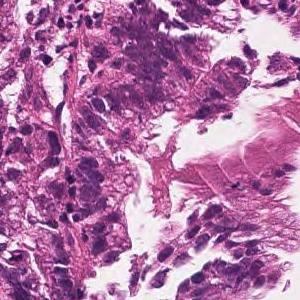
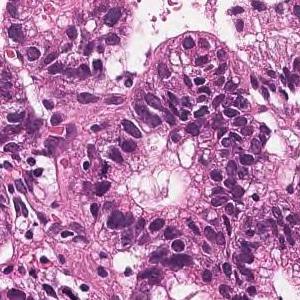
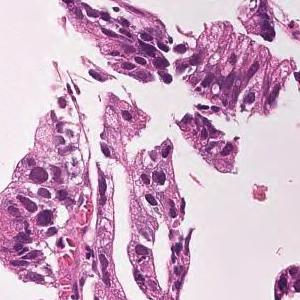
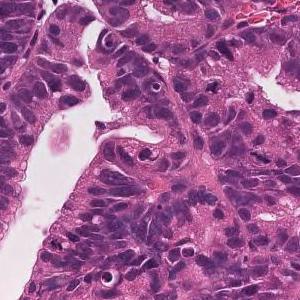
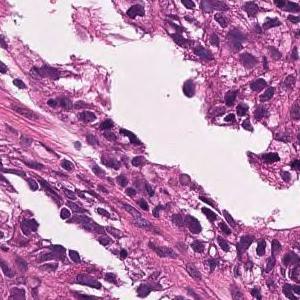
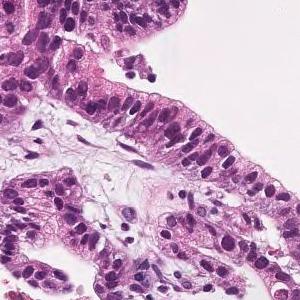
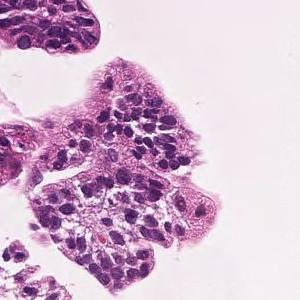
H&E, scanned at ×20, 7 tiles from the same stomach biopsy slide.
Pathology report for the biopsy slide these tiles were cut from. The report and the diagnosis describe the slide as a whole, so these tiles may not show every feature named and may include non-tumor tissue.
On the superficial epithelium, tumor tissue consisting of large, irregular glandular ducts partially fused and infiltrated is observed. Well to moderately differentiated tubular adenocarcinoma (well differentiated tubular adenocarcinoma, moderately differentiated tubular adenocarcinoma)
Histologic type: Well to moderately differentiated tubular adenocarcinoma.
